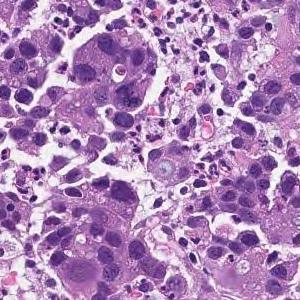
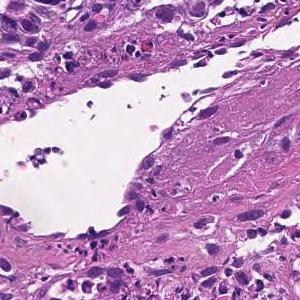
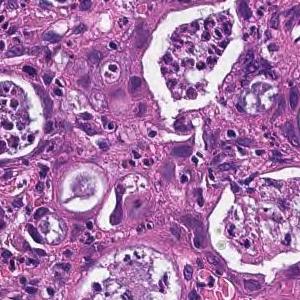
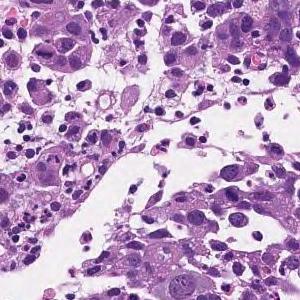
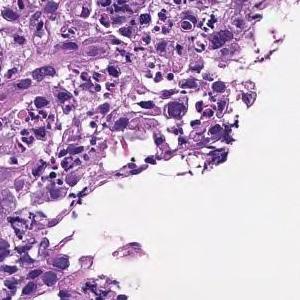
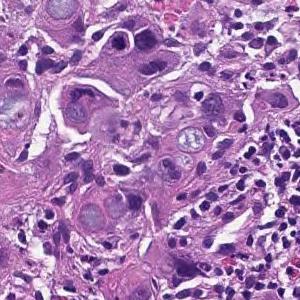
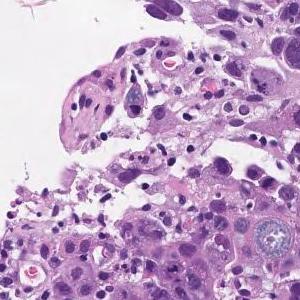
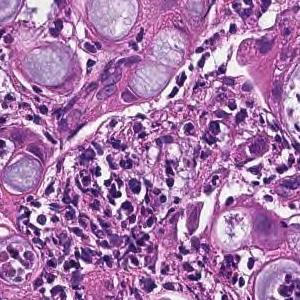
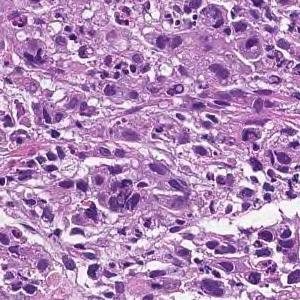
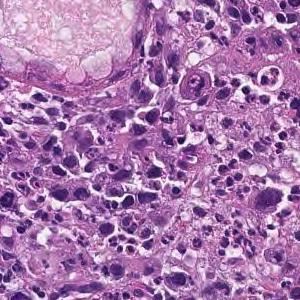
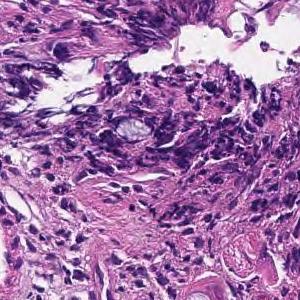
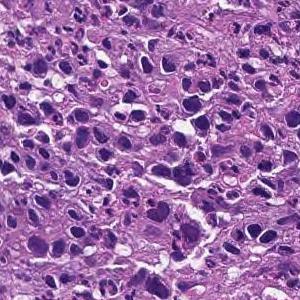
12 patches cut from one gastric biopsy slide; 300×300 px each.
Pathology report for the biopsy slide these tiles were cut from. The report and the diagnosis cover the entire slide, so not every feature they name need be visible here, and some tissue shown may not be tumor.
The superficial epithelium shows a large sheet-like shape, and some tumor tissue infiltrates with small irregular ducts. Poorly differentiated adenocarcinoma, solid-type
Histological subtype: Poorly differentiated adenocarcinoma, solid type. This name comes from the Japanese Classification of Gastric Carcinoma; the WHO 2019 classification calls it tubular adenocarcinoma, poorly differentiated.
